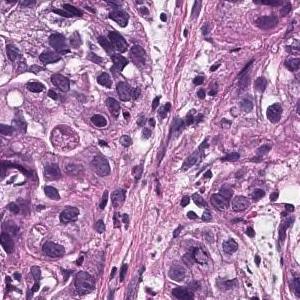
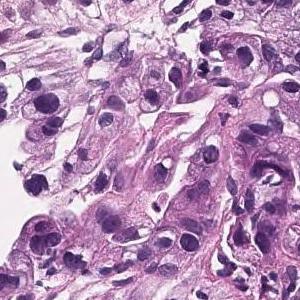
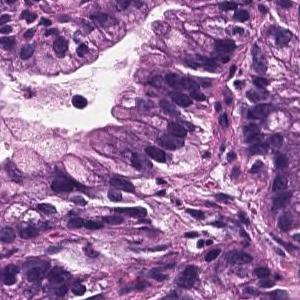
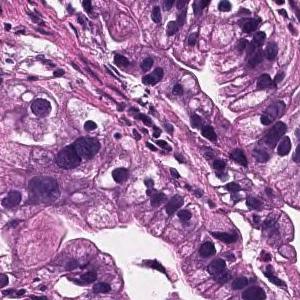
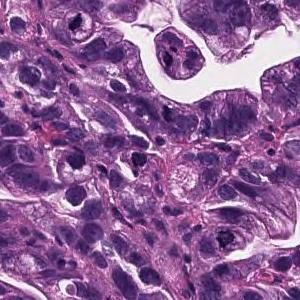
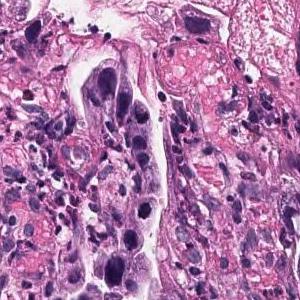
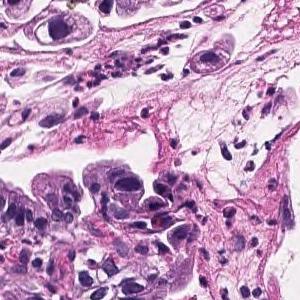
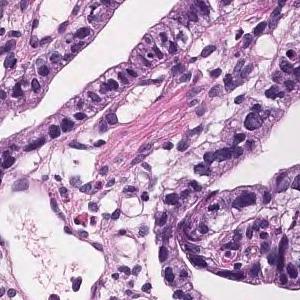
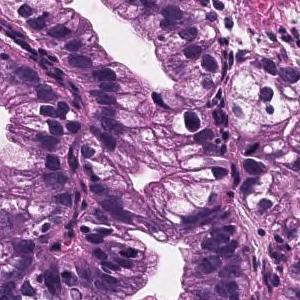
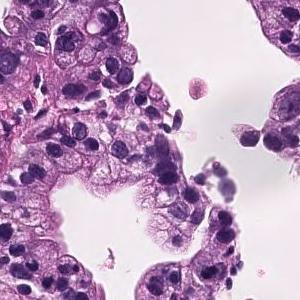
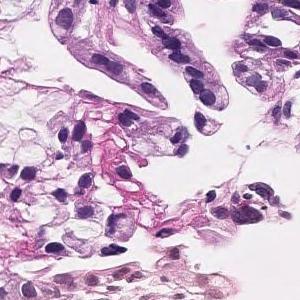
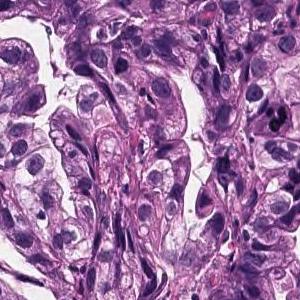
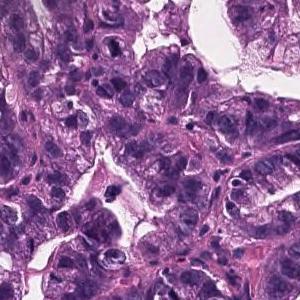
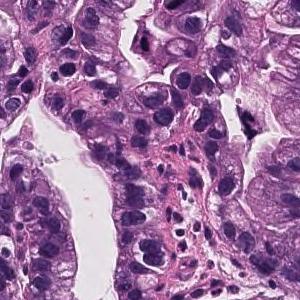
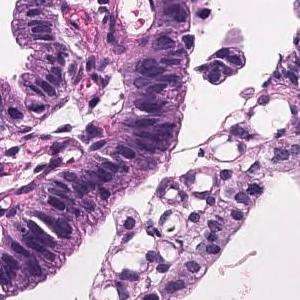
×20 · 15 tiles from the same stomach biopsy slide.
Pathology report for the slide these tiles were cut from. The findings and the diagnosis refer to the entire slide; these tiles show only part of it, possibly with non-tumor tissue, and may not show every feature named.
Tumor cells are large, highly columnar, large club-shaped nuclei, and are associated with chromatin aggregation. Papillary adenocarcinoma.
